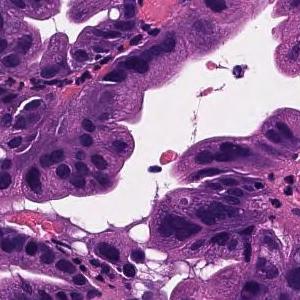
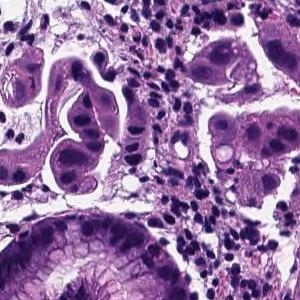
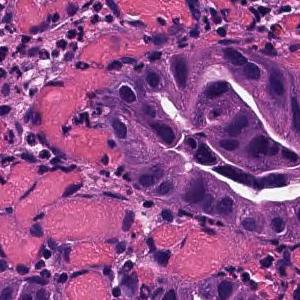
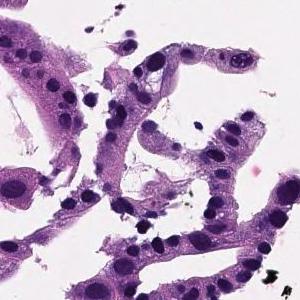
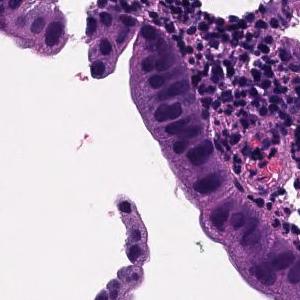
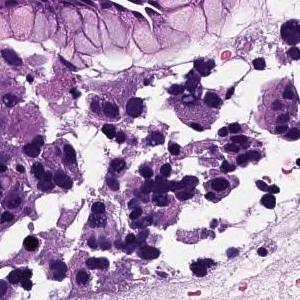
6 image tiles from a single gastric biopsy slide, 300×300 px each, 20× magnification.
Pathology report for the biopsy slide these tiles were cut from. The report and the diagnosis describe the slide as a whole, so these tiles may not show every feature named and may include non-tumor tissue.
Tumor tissue consisting of large papillary structures is found in the superficial epithelium. Papillary adenocarcinoma.
